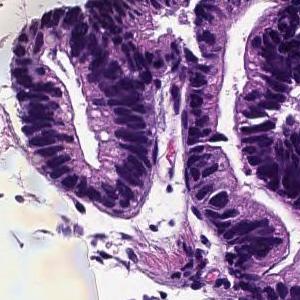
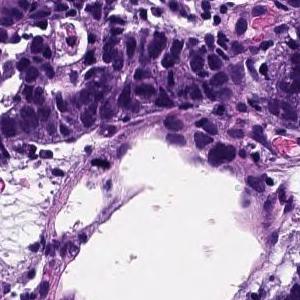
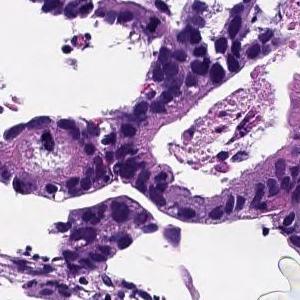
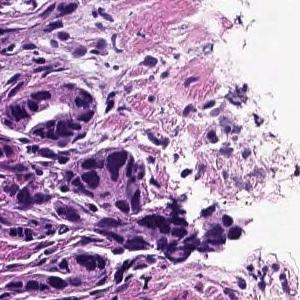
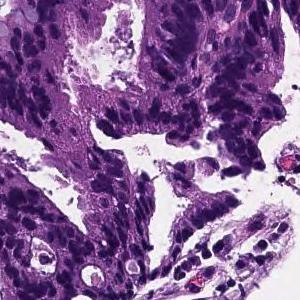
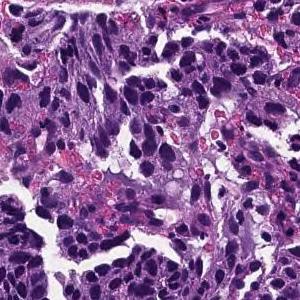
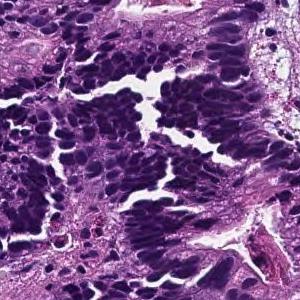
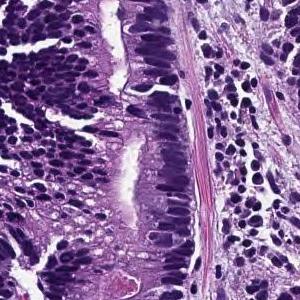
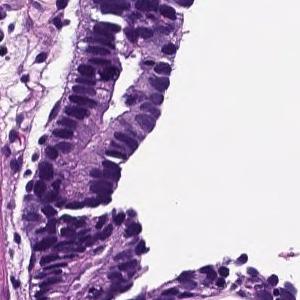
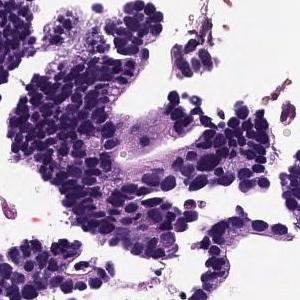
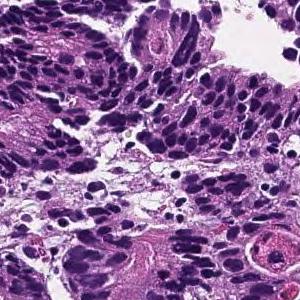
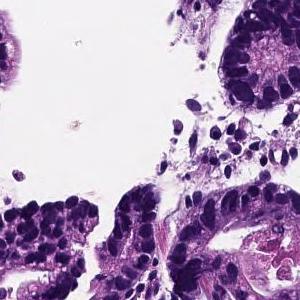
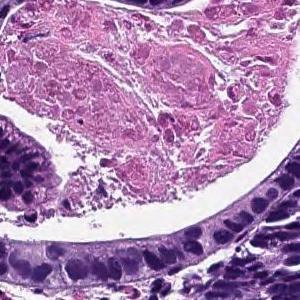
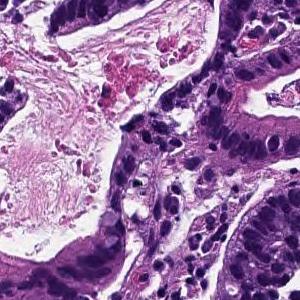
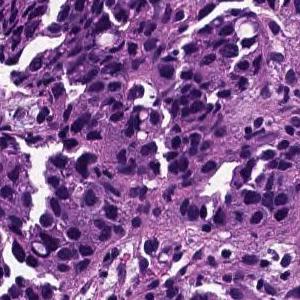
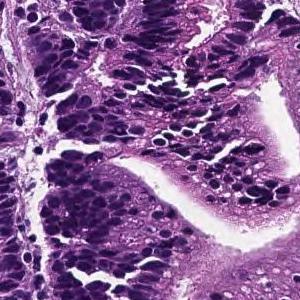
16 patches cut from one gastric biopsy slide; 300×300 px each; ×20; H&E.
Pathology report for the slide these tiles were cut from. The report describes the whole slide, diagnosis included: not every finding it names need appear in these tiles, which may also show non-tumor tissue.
From the superficial epithelium to the muscularis mucosae, tumor tissue consisting of medium-sized and irregular glandular ducts infiltrating is observed. Well differentiated tubular adenocarcinoma
